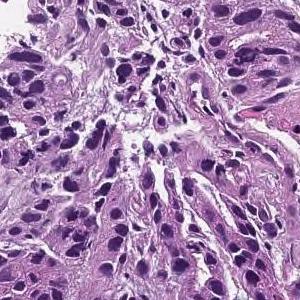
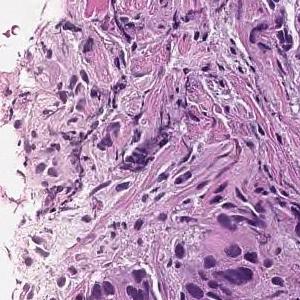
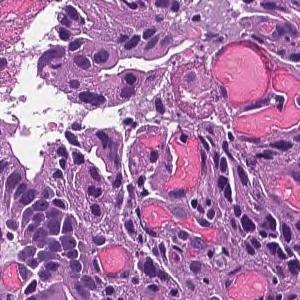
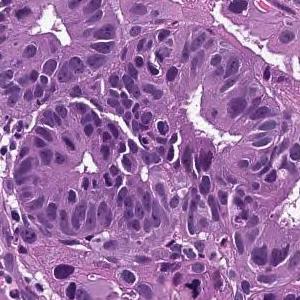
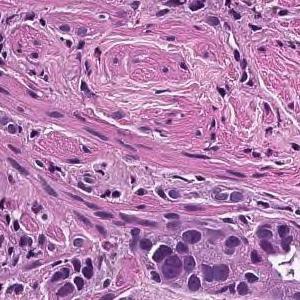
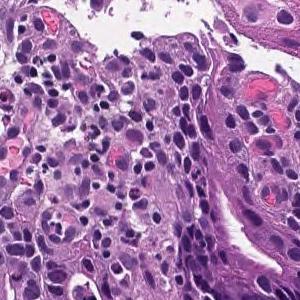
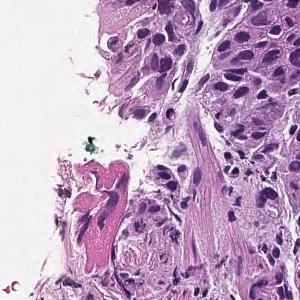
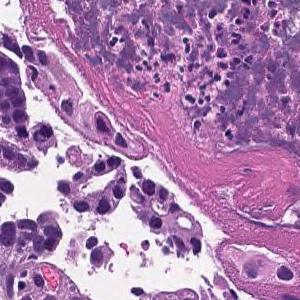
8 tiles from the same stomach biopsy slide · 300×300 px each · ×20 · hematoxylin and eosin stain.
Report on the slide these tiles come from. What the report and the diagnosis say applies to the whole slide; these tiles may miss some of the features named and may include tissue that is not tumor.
In the superficial epithelium, tumor tissue that invades by forming medium-sized to small, irregular ducts is observed. moderately differentiated tubular adenocarcinoma.
